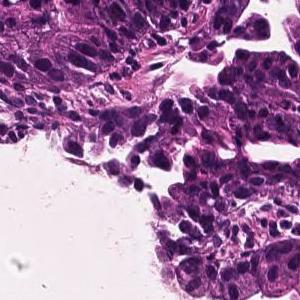
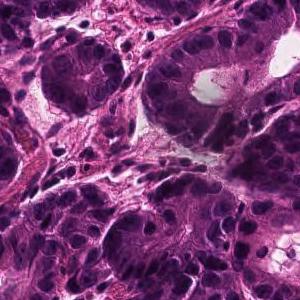
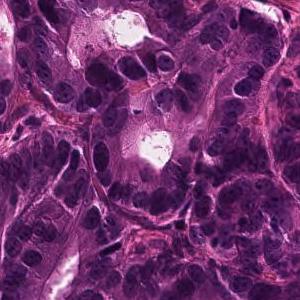
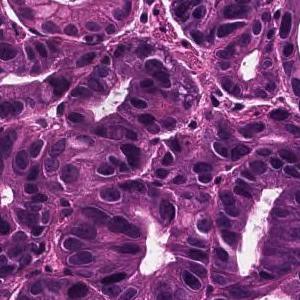
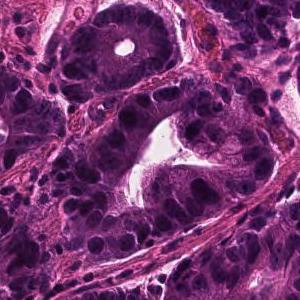
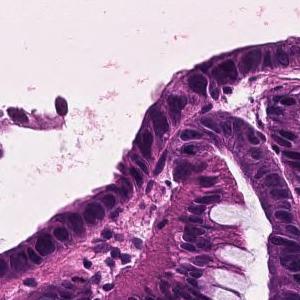
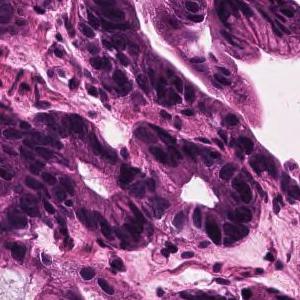
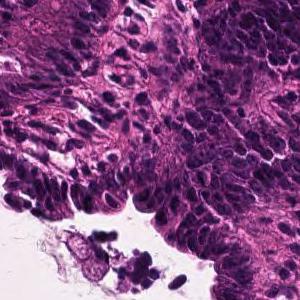
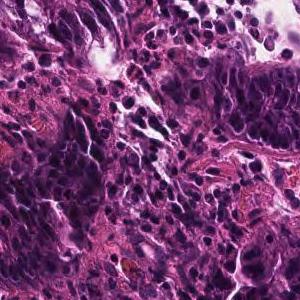
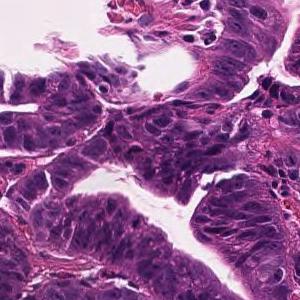
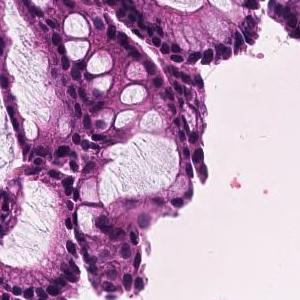
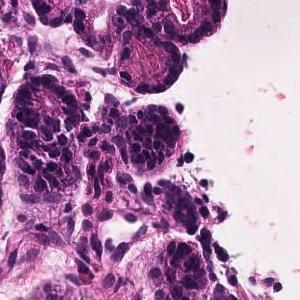
H&E stain, scanned at ×20, 12 patches cut from one gastric biopsy slide, 300×300 px each.
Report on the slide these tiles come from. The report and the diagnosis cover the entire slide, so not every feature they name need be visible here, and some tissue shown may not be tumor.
In the superficial epithelium, tumor tissue that invades by forming medium-sized to small, irregular ducts is observed. Well differentiated tubular adenocarcinoma.
